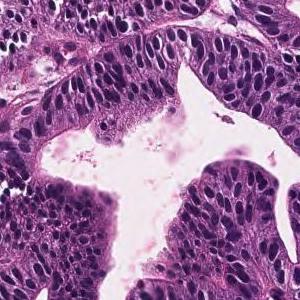
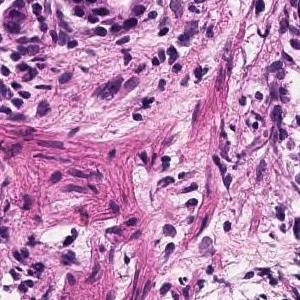
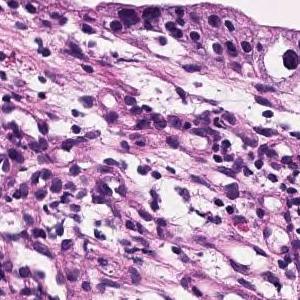
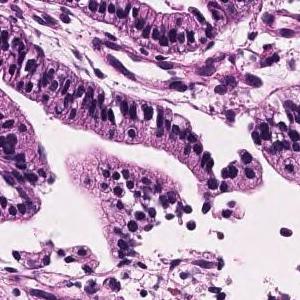
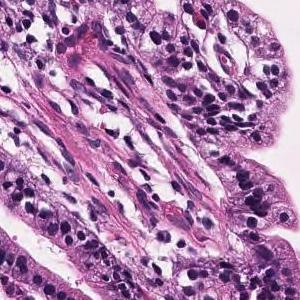
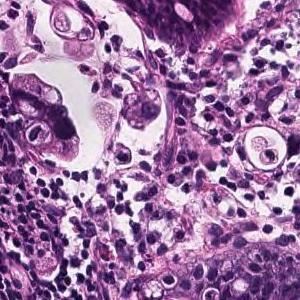
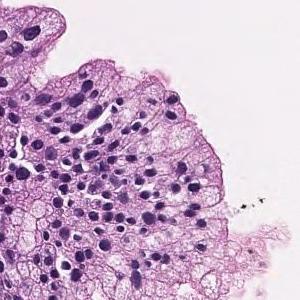
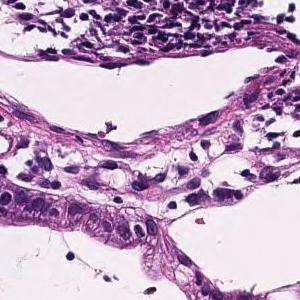
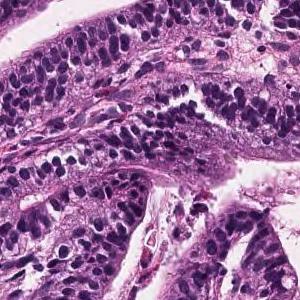
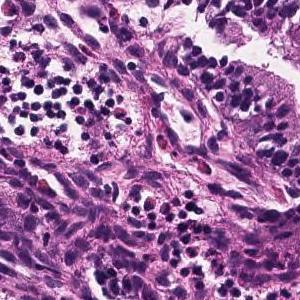
20× magnification; 10 image tiles from a single gastric biopsy slide; 300×300 px each.
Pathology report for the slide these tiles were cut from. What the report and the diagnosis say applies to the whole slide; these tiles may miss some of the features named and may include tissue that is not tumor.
Tumor tissue consisting of large papillary structures or irregular glandular ducts partially fused and infiltrated is observed in the superficial epithelium. Well to moderately differentiated tubular adenocarcinoma.
Labeled in the dataset as moderately differentiated tubular adenocarcinoma.
